H&E, 11 tiles cut from one stomach biopsy slide, 300 × 300 pixels each.
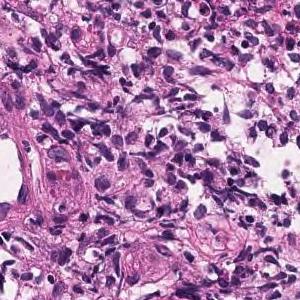
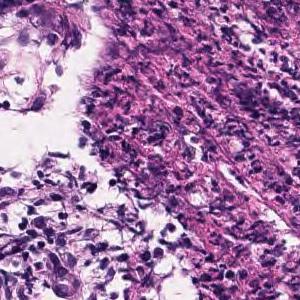
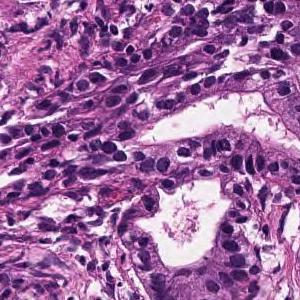
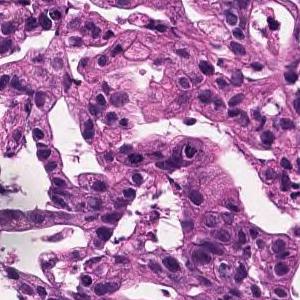
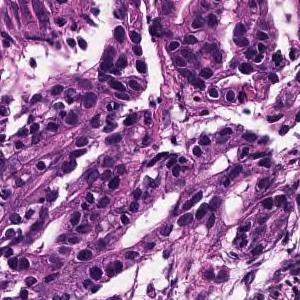
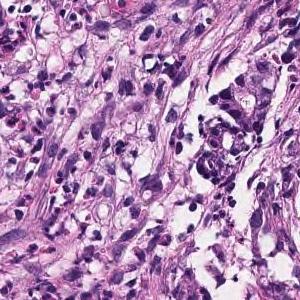
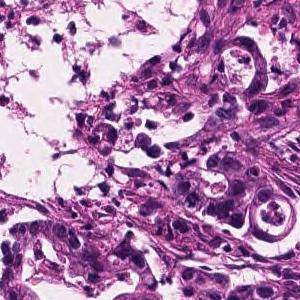
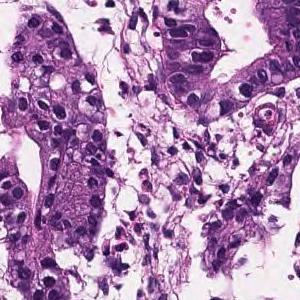
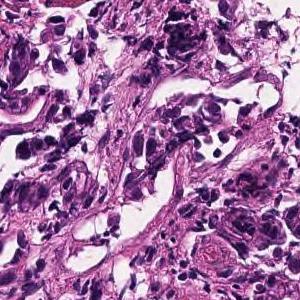
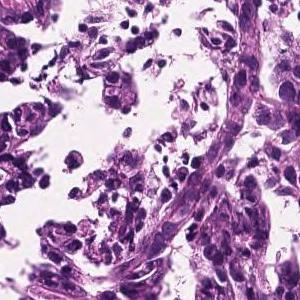
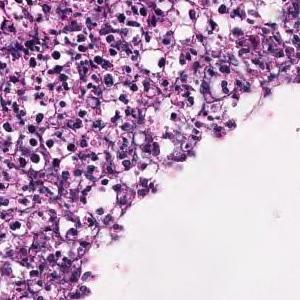
Pathology report for the biopsy slide these tiles were cut from. Both the report and the diagnosis are for the whole slide: these tiles need not show every feature named, and some of the tissue shown may not be tumor.
In the superficial epithelium, medium to small, irregular gland ducts are formed, and in some cases, the gland ducts are fused to show solid alveolar lesions and infiltrating tumor tissue is observed. Moderately to poorly differentiated adenocarcinoma.
